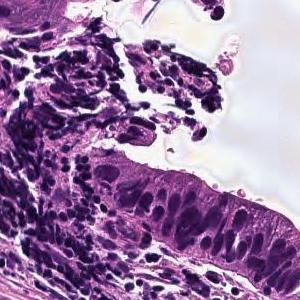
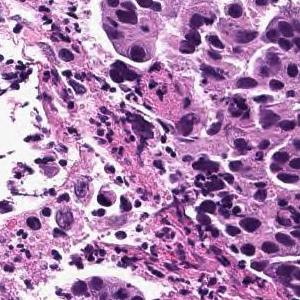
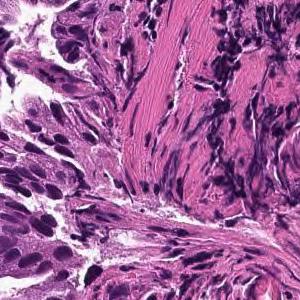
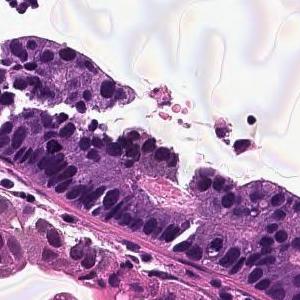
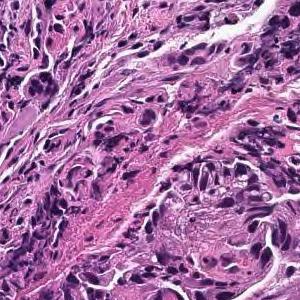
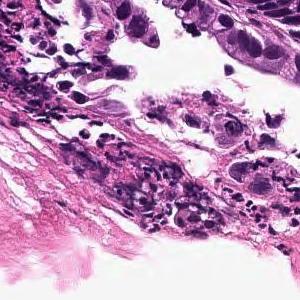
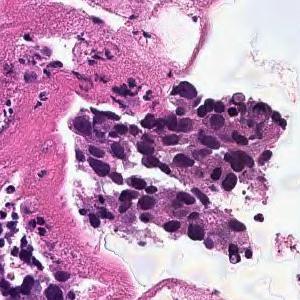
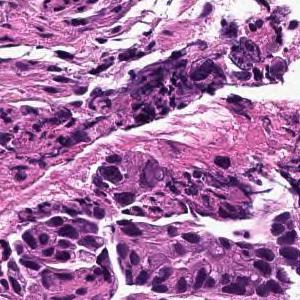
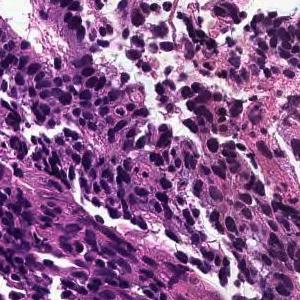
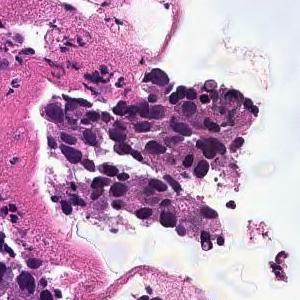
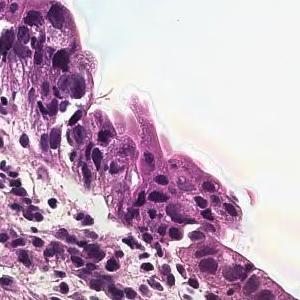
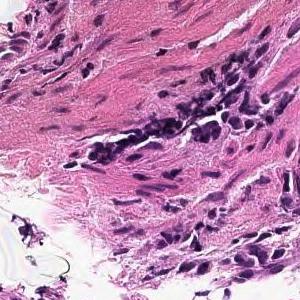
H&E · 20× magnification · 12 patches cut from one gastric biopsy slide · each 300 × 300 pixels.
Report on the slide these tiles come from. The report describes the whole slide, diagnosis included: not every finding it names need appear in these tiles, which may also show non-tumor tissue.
On the superficial epithelium, tumor tissue that infiltrates by forming medium-sized papillary or small irregular ducts is observed. Papillary adenocarcinoma
